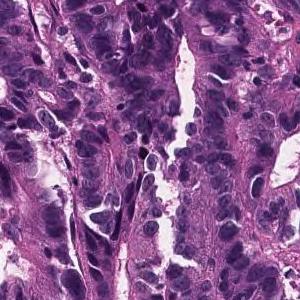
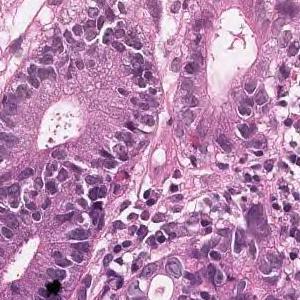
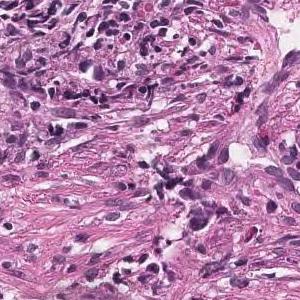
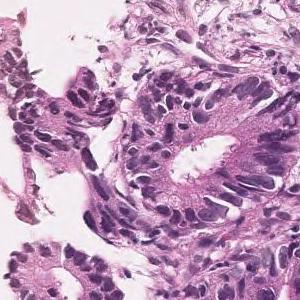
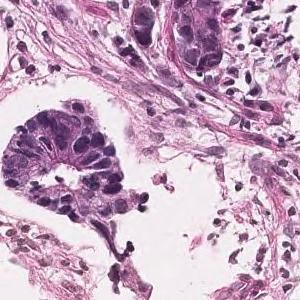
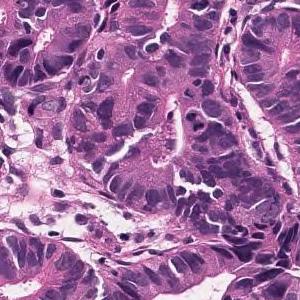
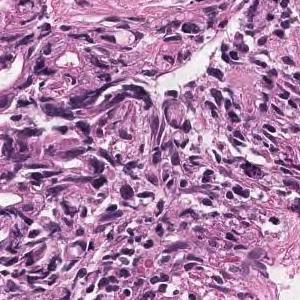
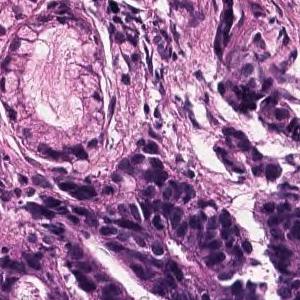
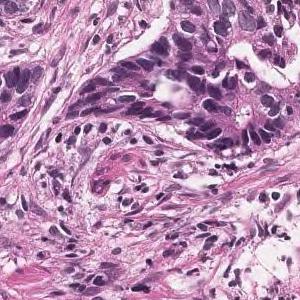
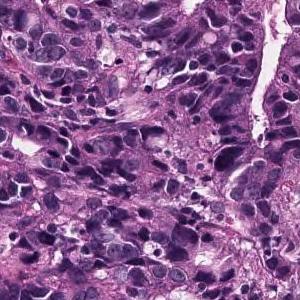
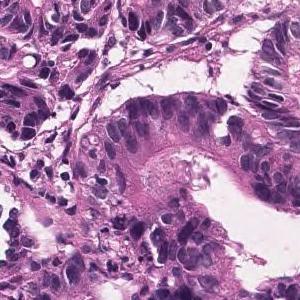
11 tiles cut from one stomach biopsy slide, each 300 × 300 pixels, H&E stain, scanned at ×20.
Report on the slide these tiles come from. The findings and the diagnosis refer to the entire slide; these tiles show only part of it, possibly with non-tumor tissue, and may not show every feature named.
In the superficial epithelium, tumor tissue is found in which medium-sized irregular gland ducts fuse with each other and infiltrate. moderately differentiated tubular adenocarcinoma
